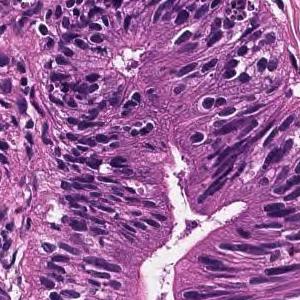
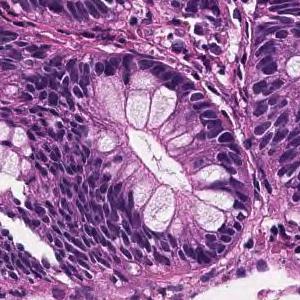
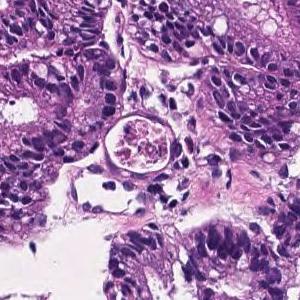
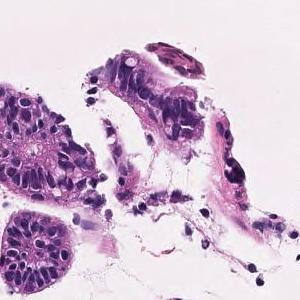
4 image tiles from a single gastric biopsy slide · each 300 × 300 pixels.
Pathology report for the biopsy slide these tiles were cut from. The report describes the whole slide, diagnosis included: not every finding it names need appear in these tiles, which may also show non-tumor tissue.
Most remain in the superficial epithelium, forming medium-sized papillary or small irregular ducts and proliferating, and some tumor tissue invades the muscularis mucosae. Papillary adenocarcinoma
